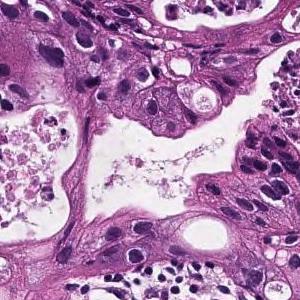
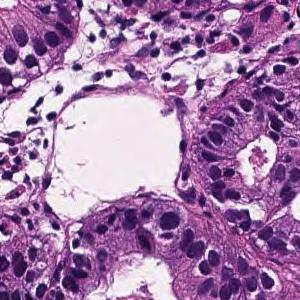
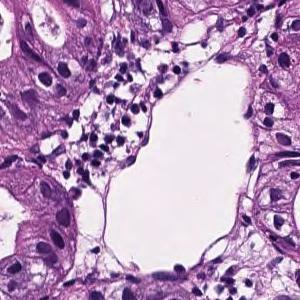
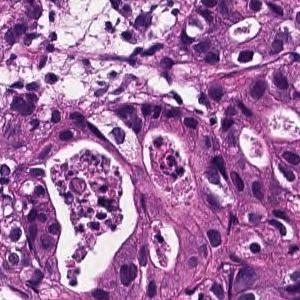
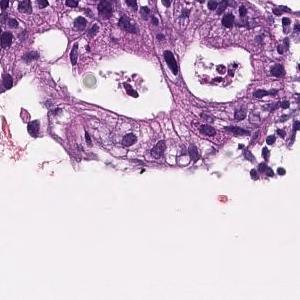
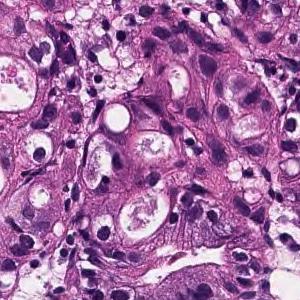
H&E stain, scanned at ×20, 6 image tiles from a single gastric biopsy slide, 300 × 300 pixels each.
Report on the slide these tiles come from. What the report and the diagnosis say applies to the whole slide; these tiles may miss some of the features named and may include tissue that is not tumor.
From the superficial epithelium to the muscularis mucosae, tumor tissue infiltrating by forming medium-sized irregular gland ducts is observed. Large tumor cells exhibit large nucleus and hyperchromatism. Well differentiated tubular adenocarcinoma
